20× magnification; 8 tiles cut from one stomach biopsy slide.
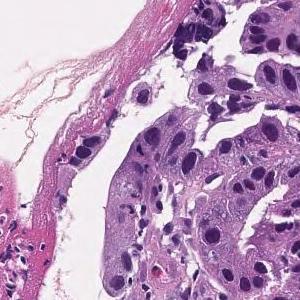
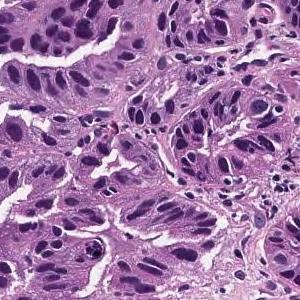
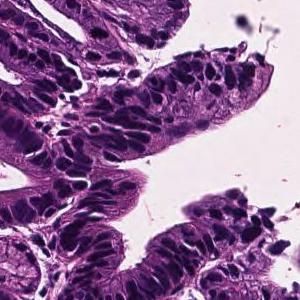
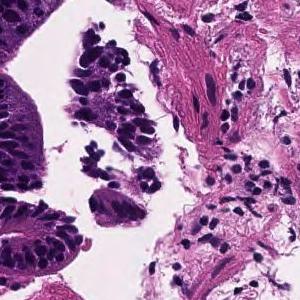
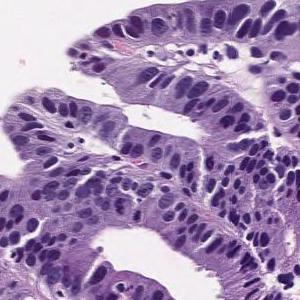
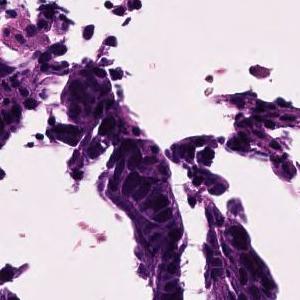
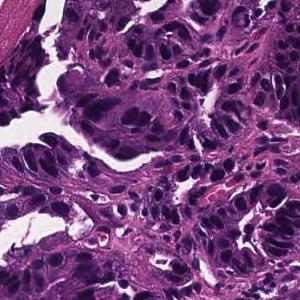
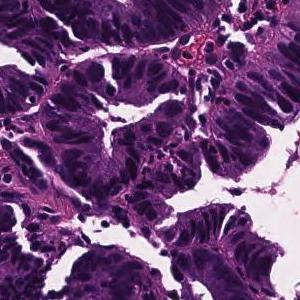
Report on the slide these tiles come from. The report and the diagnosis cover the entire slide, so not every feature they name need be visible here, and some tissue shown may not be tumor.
Tumor cells are large, highly columnar, large club-shaped nuclei, and are associated with chromatin aggregation. Papillary adenocarcinoma.
